H&E; 20× magnification; 4 image tiles from a single gastric biopsy slide.
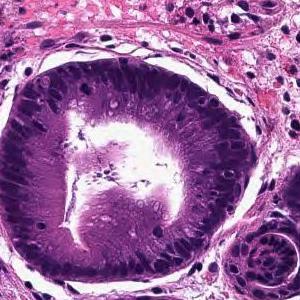
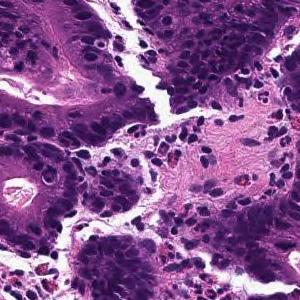
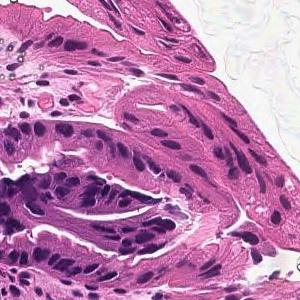
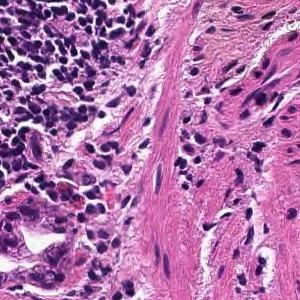
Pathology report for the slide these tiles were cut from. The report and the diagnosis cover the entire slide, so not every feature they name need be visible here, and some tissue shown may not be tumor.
From the superficial epithelium to the muscularis mucosae, tumor tissue consisting of medium-sized and irregular glandular ducts infiltrating is observed. Well differentiated tubular adenocarcinoma
